×20, 6 patches cut from one gastric biopsy slide, 300×300 px each.
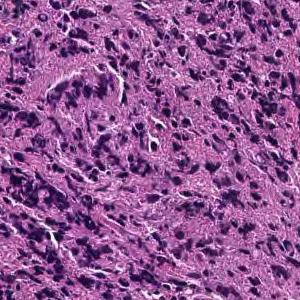
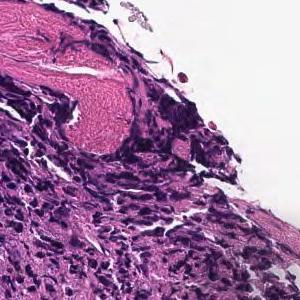
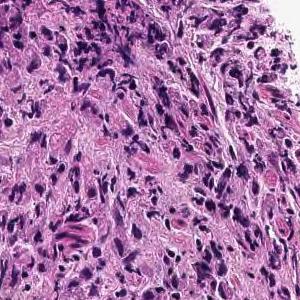
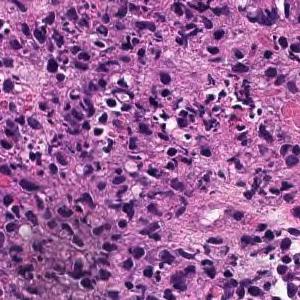
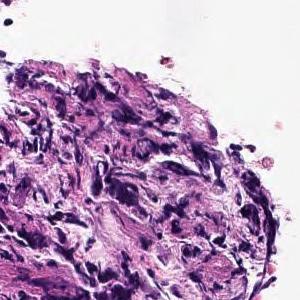
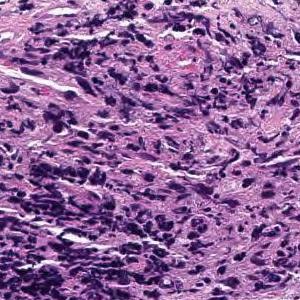
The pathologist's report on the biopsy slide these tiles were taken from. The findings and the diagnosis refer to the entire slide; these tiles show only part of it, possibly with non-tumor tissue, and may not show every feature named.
Large sheet-like or diffusely infiltrating tumor tissue is found in the superficial epithelium. Poorly differentiated adenocarcinoma, solid-type
Classified as poorly differentiated adenocarcinoma, solid type, a category of the Japanese Classification of Gastric Carcinoma; in the WHO 2019 classification it is tubular adenocarcinoma, poorly differentiated.
